Hematoxylin and eosin stain · 14 image tiles from a single gastric biopsy slide · each 300 × 300 pixels.
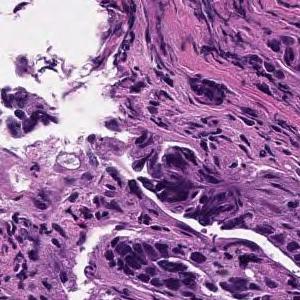
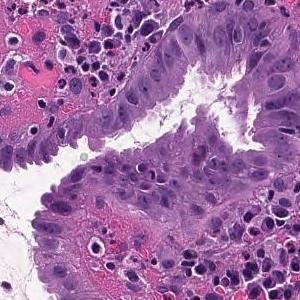
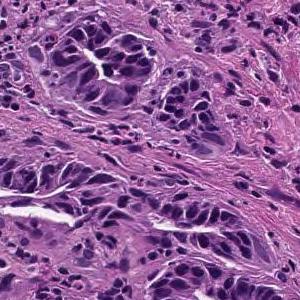
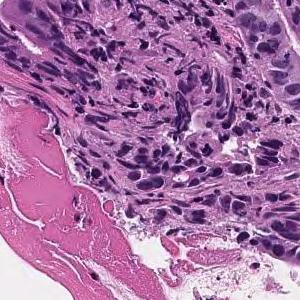
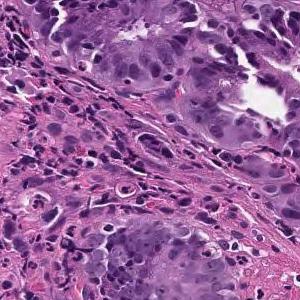
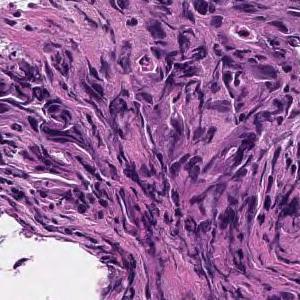
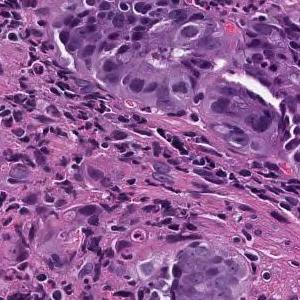
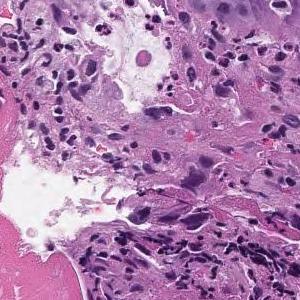
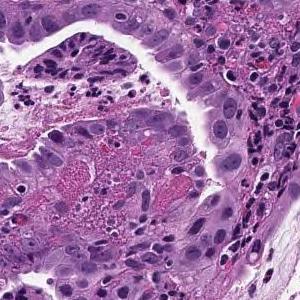
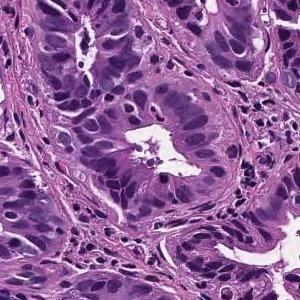
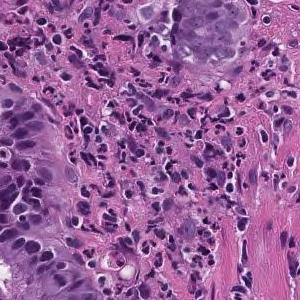
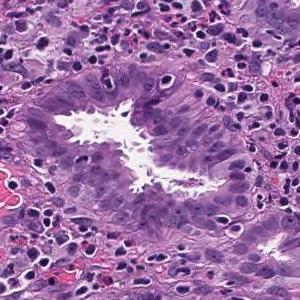
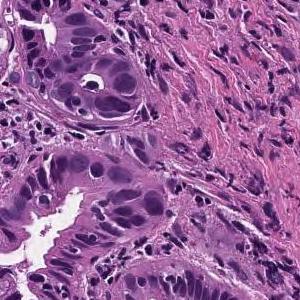
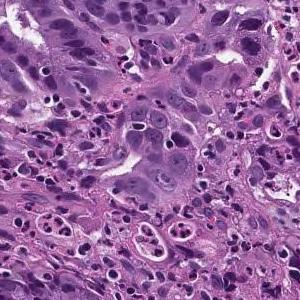
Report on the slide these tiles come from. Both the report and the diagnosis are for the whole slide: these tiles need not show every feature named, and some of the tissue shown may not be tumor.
On the superficial epithelium, tumor tissue consisting of large, irregular glandular ducts partially fused and infiltrated is observed. Well to moderately differentiated tubular adenocarcinoma (well differentiated tubular adenocarcinoma, moderately differentiated tubular adenocarcinoma)
Classified as well to moderately differentiated tubular adenocarcinoma.
